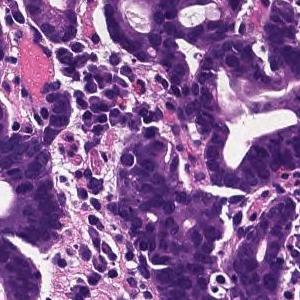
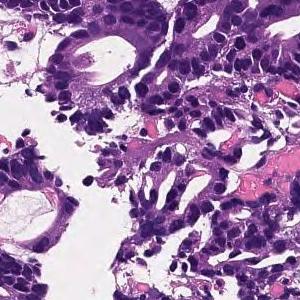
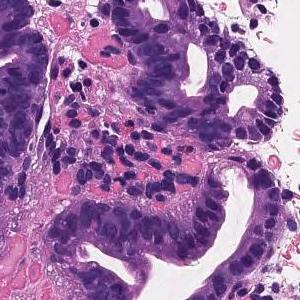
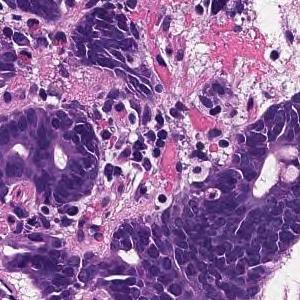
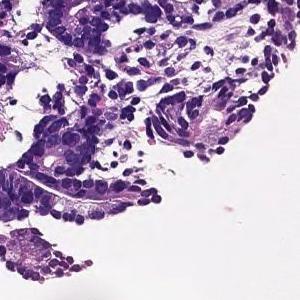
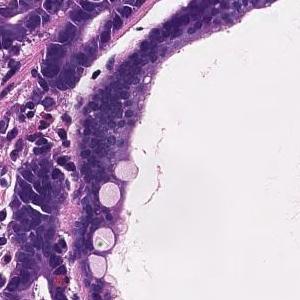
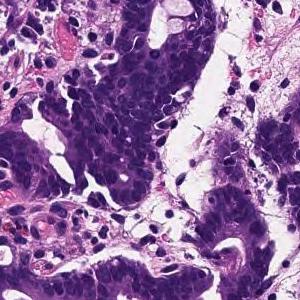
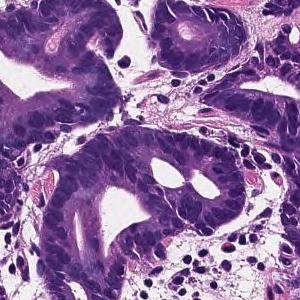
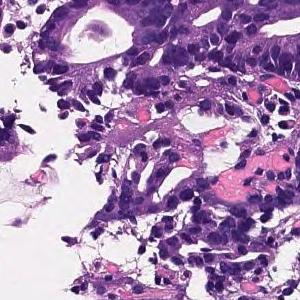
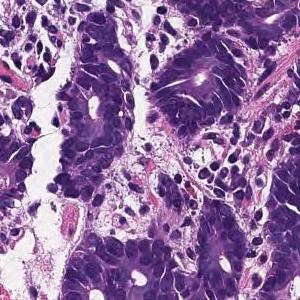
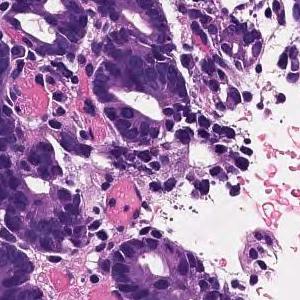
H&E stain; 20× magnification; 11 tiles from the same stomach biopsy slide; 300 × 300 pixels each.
Pathology report for the biopsy slide these tiles were cut from. Both the report and the diagnosis are for the whole slide: these tiles need not show every feature named, and some of the tissue shown may not be tumor.
On the superficial epithelium, tumor tissue is found in which medium-sized irregular gland ducts fuse with each other and infiltrate. moderately differentiated tubular adenocarcinoma
